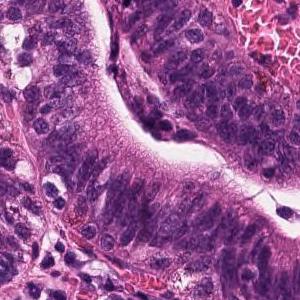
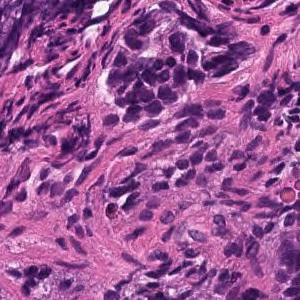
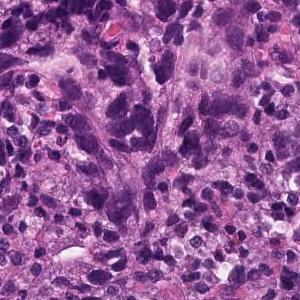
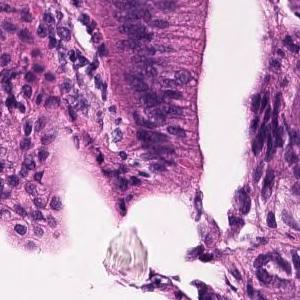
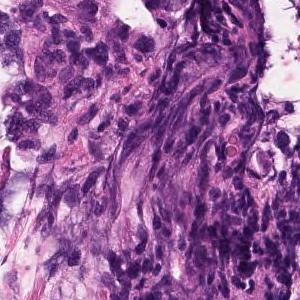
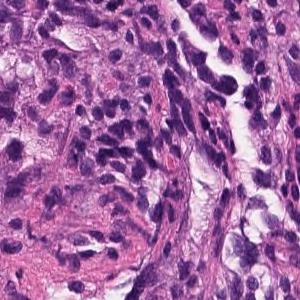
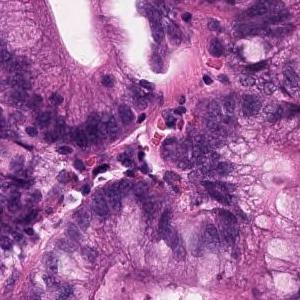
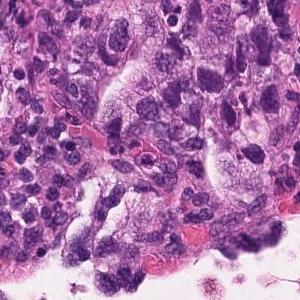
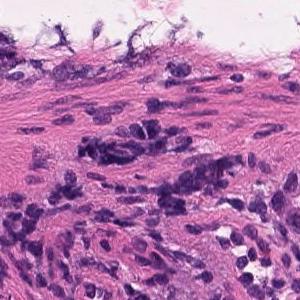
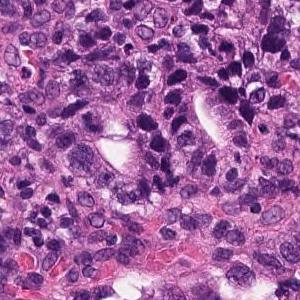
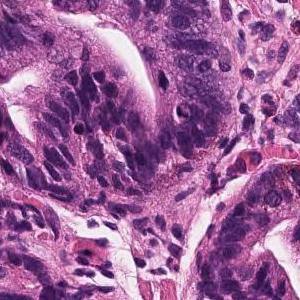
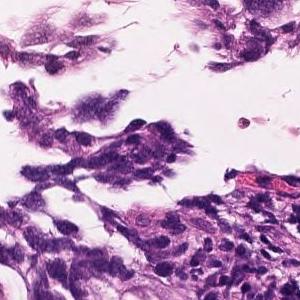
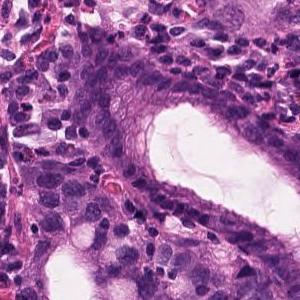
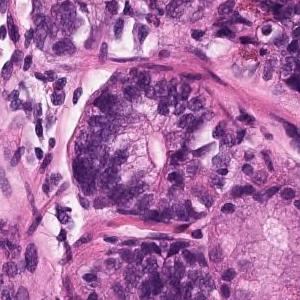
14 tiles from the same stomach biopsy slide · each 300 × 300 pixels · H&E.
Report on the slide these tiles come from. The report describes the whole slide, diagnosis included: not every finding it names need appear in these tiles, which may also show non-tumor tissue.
In the superficial epithelium, tumor tissue that invades by forming medium-sized to small, irregular ducts is observed. Moderately differentiated adenocarcinoma.
Tumor subtype: moderately differentiated tubular adenocarcinoma.
